12 image tiles from a single gastric biopsy slide, each 300 × 300 pixels, 20× magnification, H&E.
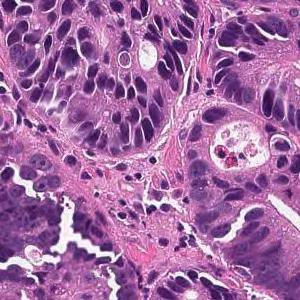
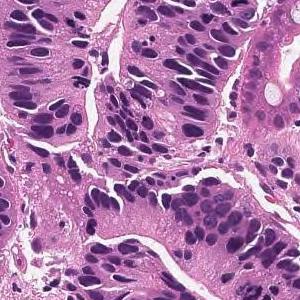
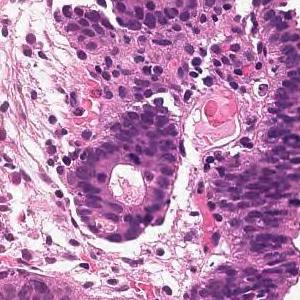
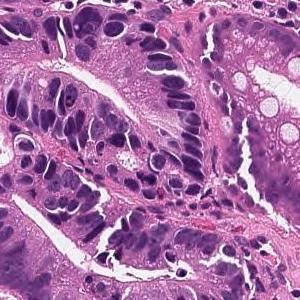
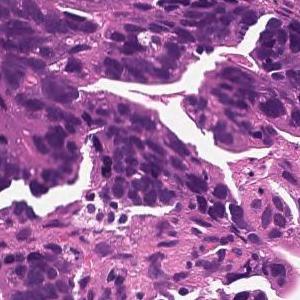
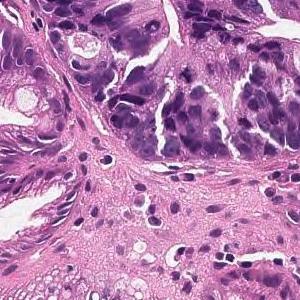
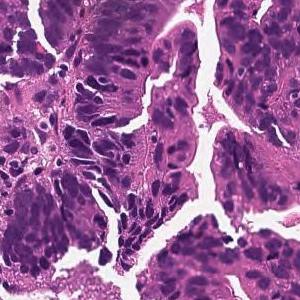
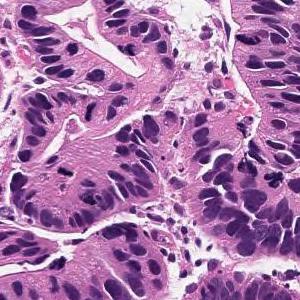
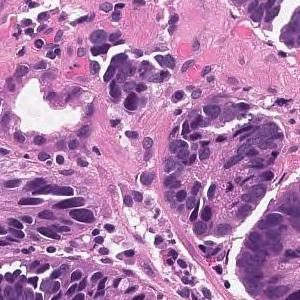
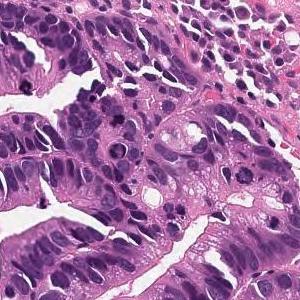
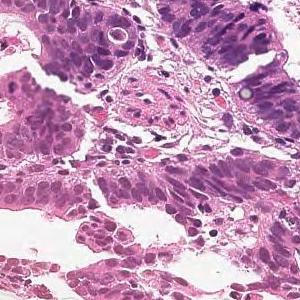
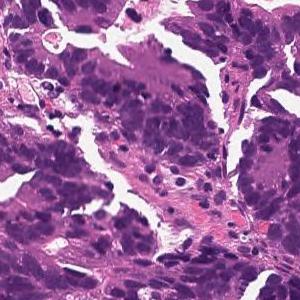
Pathology report for the slide these tiles were cut from. The report and the diagnosis cover the entire slide, so not every feature they name need be visible here, and some tissue shown may not be tumor.
Tumor cells are large, highly columnar, large club-shaped nuclei, and are associated with chromatin aggregation. Papillary adenocarcinoma.
